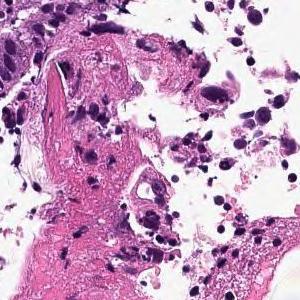
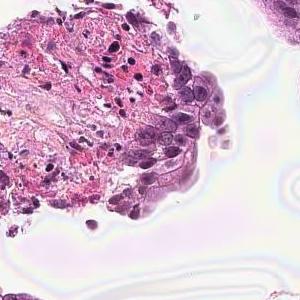
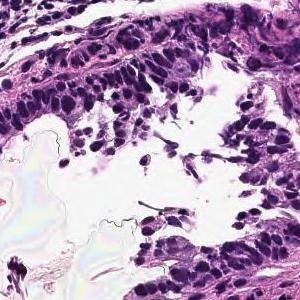
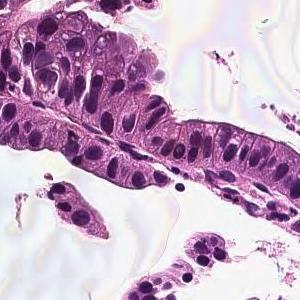
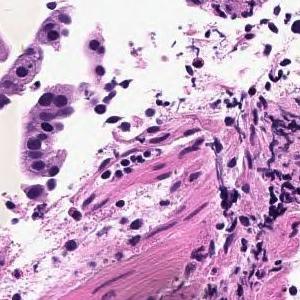
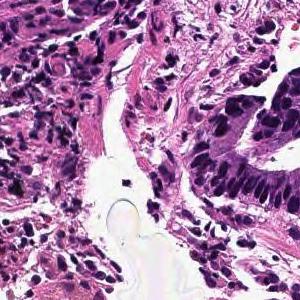
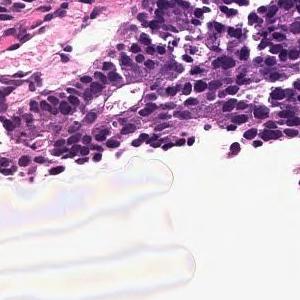
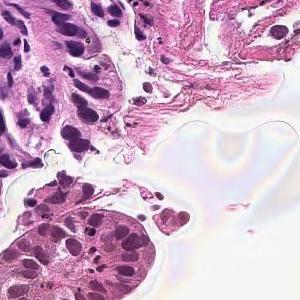
8 tiles cut from one stomach biopsy slide · 300 × 300 pixels each · ×20 · H&E stain.
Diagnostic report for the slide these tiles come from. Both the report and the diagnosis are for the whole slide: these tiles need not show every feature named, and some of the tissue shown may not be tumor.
On the superficial epithelium, tumor tissue that infiltrates by forming medium-sized papillary or small irregular ducts is observed. Papillary adenocarcinoma
